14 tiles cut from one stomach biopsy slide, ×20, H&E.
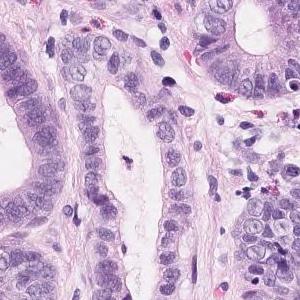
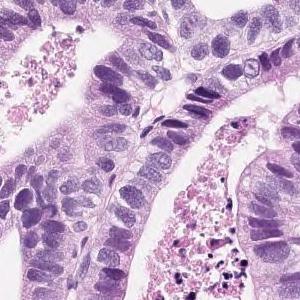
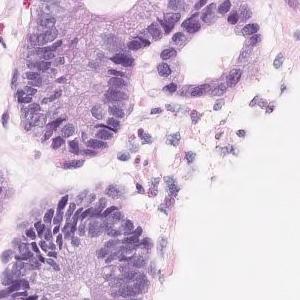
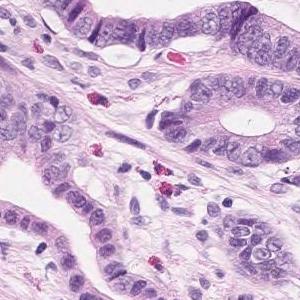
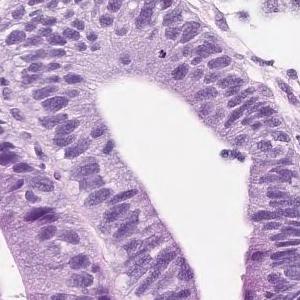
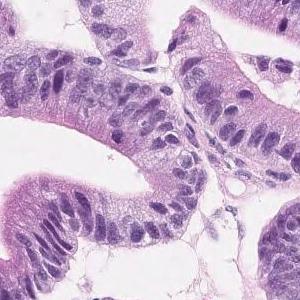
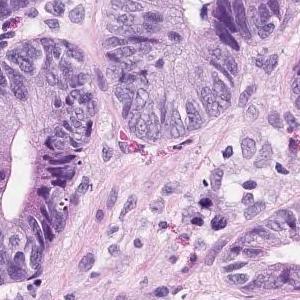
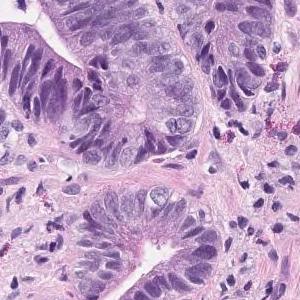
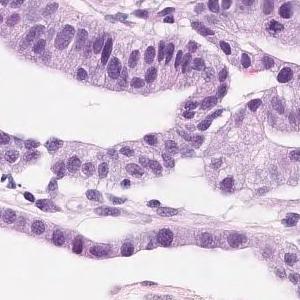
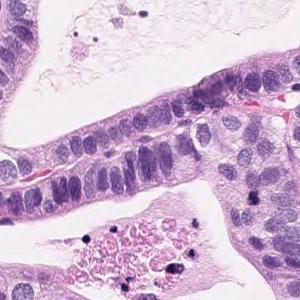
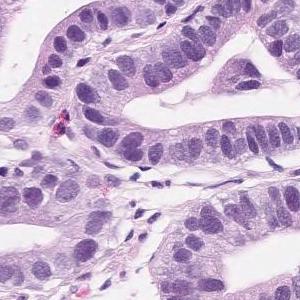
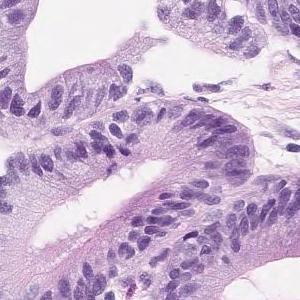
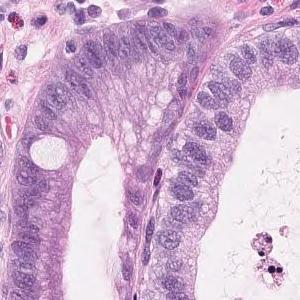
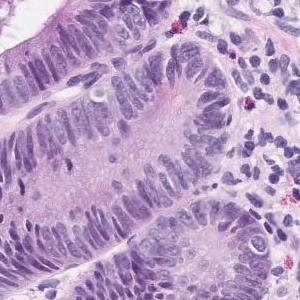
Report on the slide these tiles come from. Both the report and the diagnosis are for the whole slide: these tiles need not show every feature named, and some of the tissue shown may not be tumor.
Short atypical epithelium with swelling of the nucleus shows proliferating, large and small irregular ductal structures. Well to moderately differentiated tubular adenocarcinoma (well differentiated tubular adenocarcinoma-moderately differentiated tubular adenocarcinoma)
Histological subtype: Well to moderately differentiated tubular adenocarcinoma.
